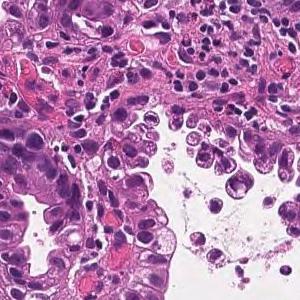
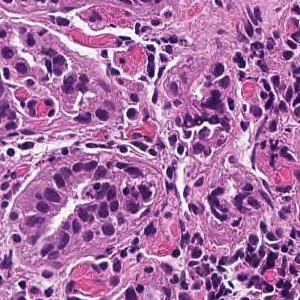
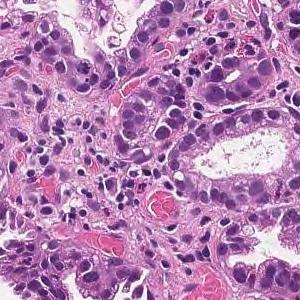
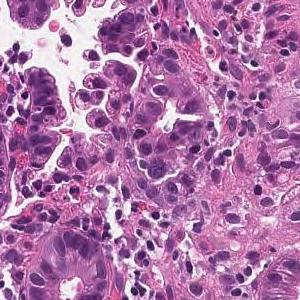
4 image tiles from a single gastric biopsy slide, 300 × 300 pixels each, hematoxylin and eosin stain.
Pathology report for the biopsy slide these tiles were cut from. The report and the diagnosis describe the slide as a whole, so these tiles may not show every feature named and may include non-tumor tissue.
On the superficial epithelium, tumor tissue consisting of large irregular glandular ducts partially fused and infiltrated is observed. Well to moderately differentiated tubular adenocarcinoma (well differentiated tubular adenocarcinoma, moderately differentiated tubular adenocarcinoma)
Histological subtype: Well to moderately differentiated tubular adenocarcinoma.
